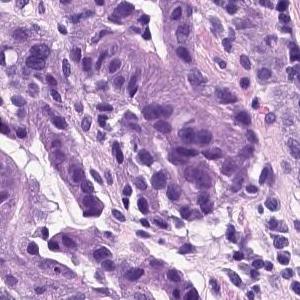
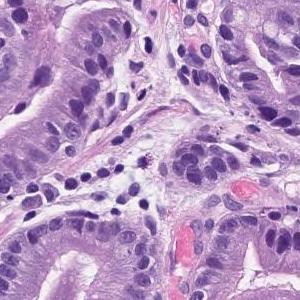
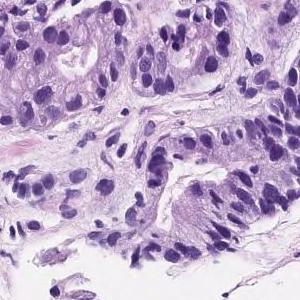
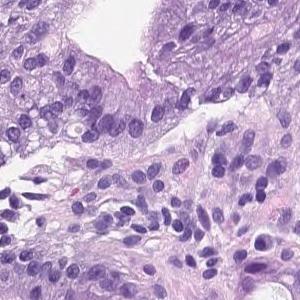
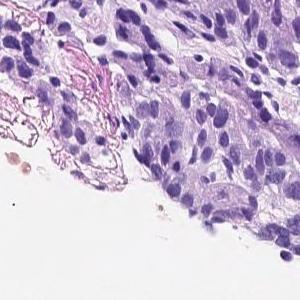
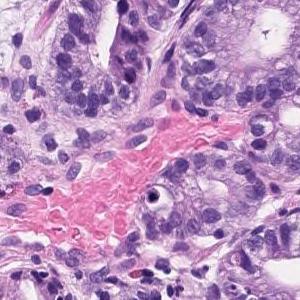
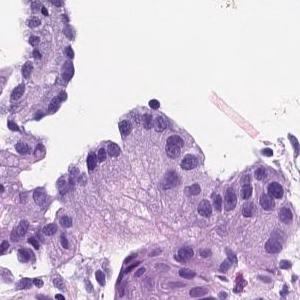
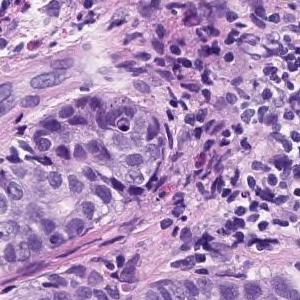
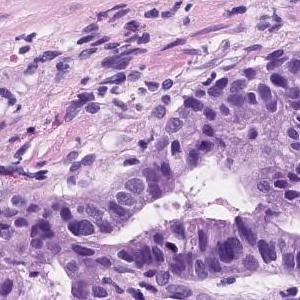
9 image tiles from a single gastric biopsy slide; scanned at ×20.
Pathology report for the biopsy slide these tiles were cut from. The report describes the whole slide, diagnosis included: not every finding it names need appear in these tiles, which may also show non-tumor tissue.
Tumor tissue consisting of medium-sized and irregular ducts is observed infiltrating in the superficial epithelium. Tumor cells are highly columnar, with nuclei aligned basolaterally and polarized. Well differentiated tubular adenocarcinoma.
